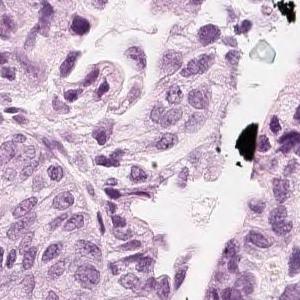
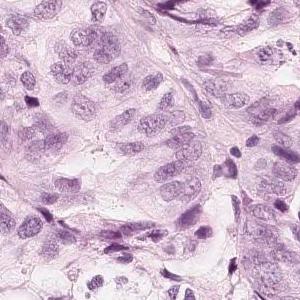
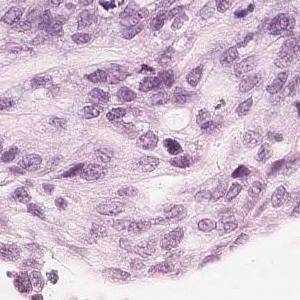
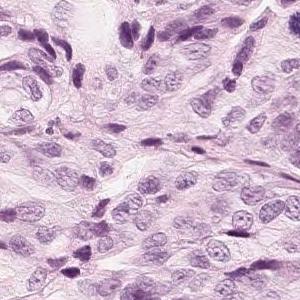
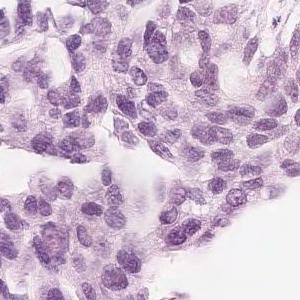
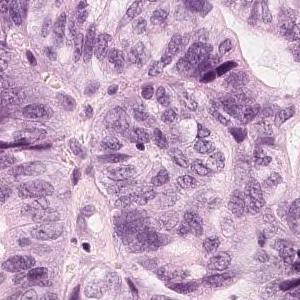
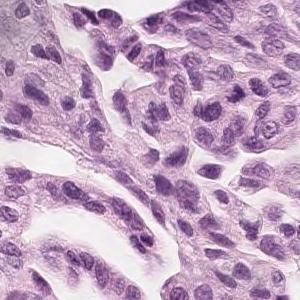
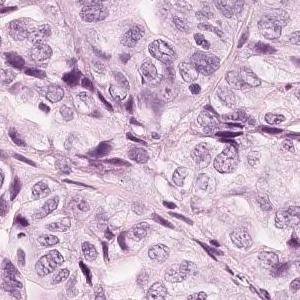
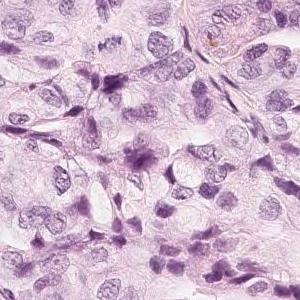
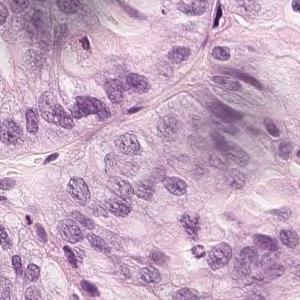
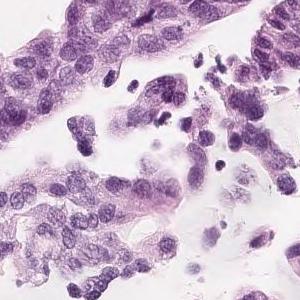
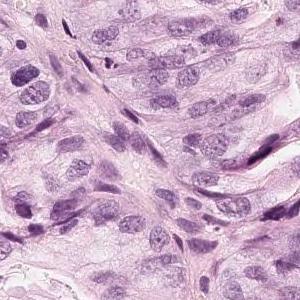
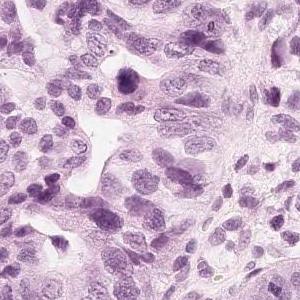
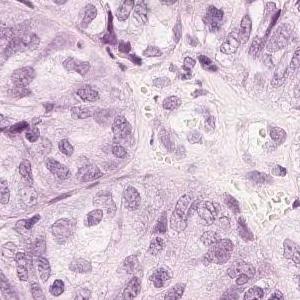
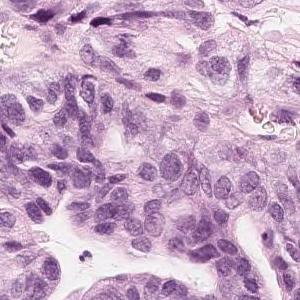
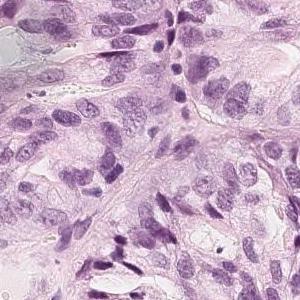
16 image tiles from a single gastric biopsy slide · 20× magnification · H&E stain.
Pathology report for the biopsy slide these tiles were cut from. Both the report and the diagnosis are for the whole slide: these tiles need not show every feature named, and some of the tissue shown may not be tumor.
Tumor tissue in which medium-sized atypical epithelial cells with a large N/C ratio grow densely while becoming alveolar to cord-like with duct formation is observed. moderately differentiated tubular adenocarcinoma
